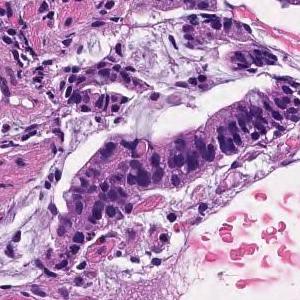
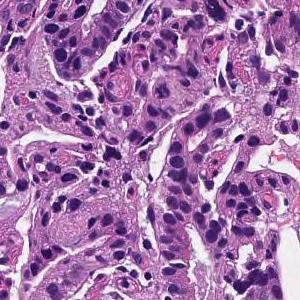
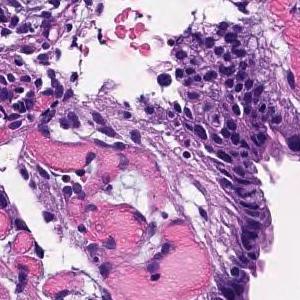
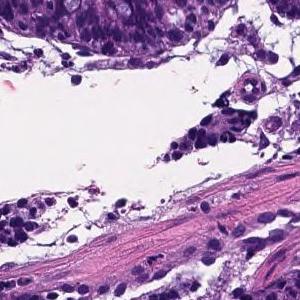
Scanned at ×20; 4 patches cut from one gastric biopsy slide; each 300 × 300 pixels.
Pathology report for the biopsy slide these tiles were cut from. The findings and the diagnosis refer to the entire slide; these tiles show only part of it, possibly with non-tumor tissue, and may not show every feature named.
Tumor cells are large, highly columnar, large club-shaped nuclei, and are associated with chromatin aggregation. Papillary adenocarcinoma.
